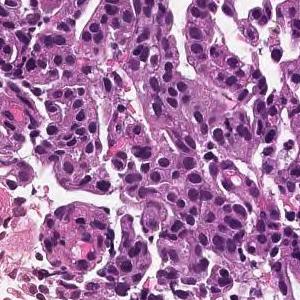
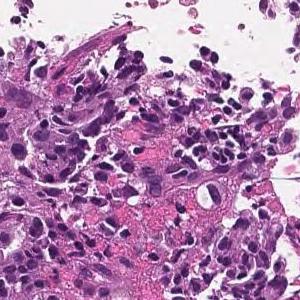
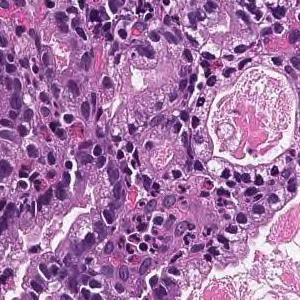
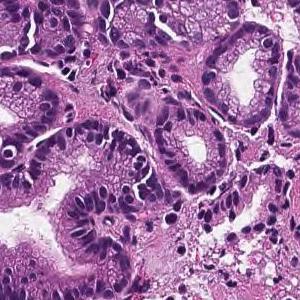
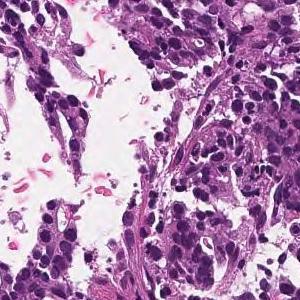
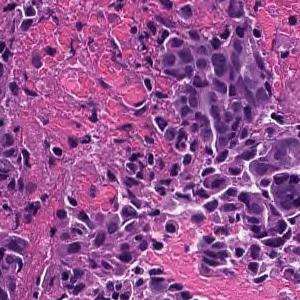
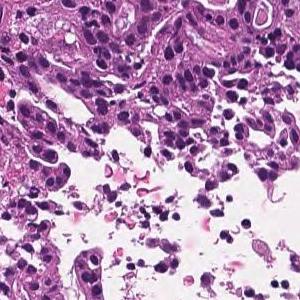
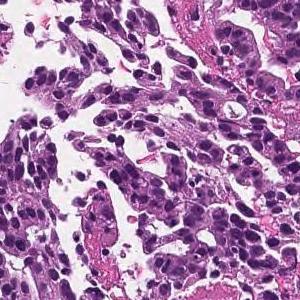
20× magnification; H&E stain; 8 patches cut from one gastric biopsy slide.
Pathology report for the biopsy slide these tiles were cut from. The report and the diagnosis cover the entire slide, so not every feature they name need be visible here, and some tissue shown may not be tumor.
On the superficial epithelium, tumor tissue that infiltrates by forming medium-sized papillary or small irregular ducts is observed. Papillary adenocarcinoma
